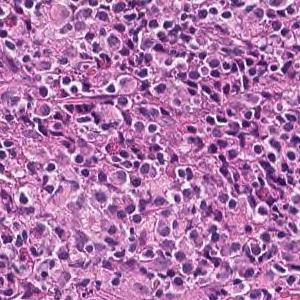
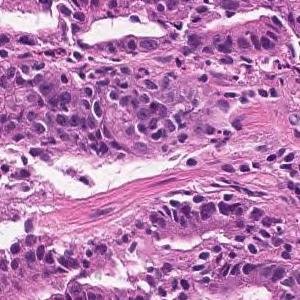
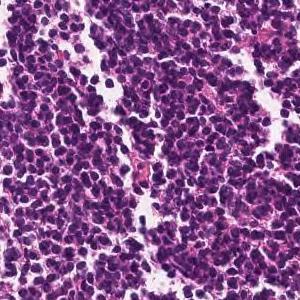
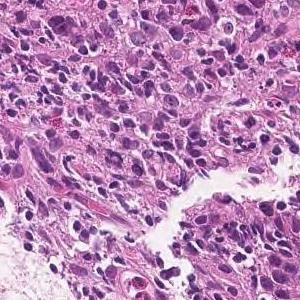
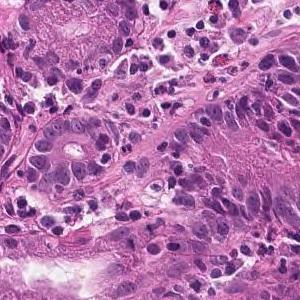
Hematoxylin and eosin stain, 5 patches cut from one gastric biopsy slide, each 300 × 300 pixels.
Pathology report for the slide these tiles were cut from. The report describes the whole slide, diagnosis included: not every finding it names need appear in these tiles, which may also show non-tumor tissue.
Tumor tissue consisting of medium-sized, cord-like or irregular glandular infiltration is observed in the superficial epithelium. Poorly differentiated adenocarcinoma, non-solid type or moderately differentiated tubular adenocarcinoma
Labeled in the dataset as poorly differentiated adenocarcinoma, non-solid type.
"Non-solid type" is a category of the Japanese Classification of Gastric Carcinoma.
